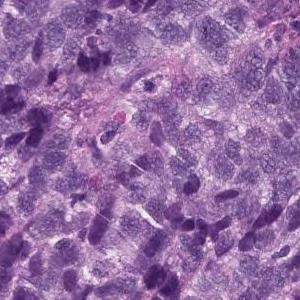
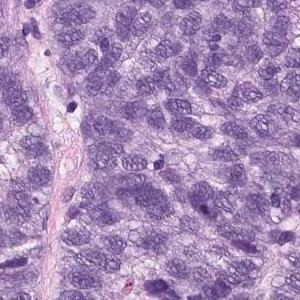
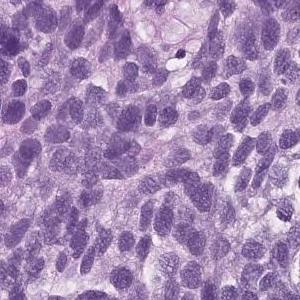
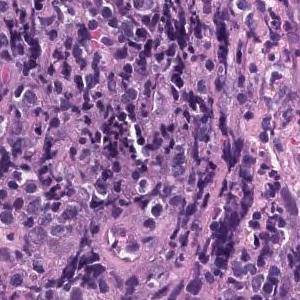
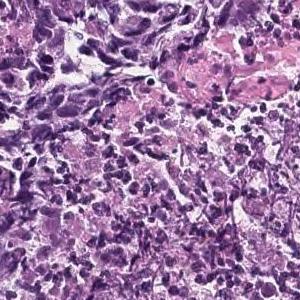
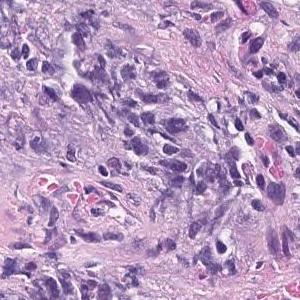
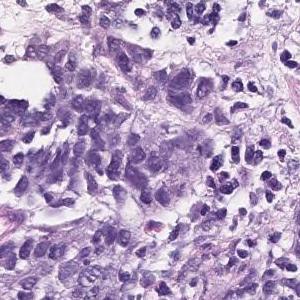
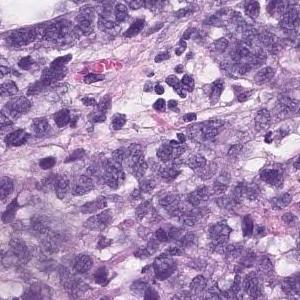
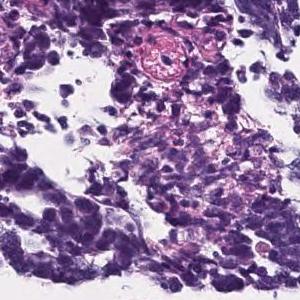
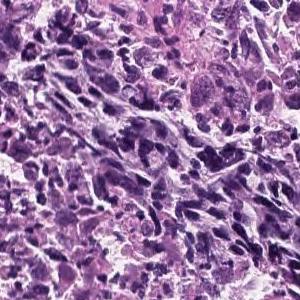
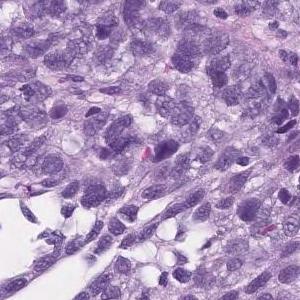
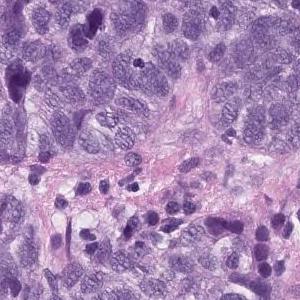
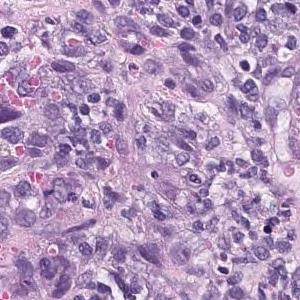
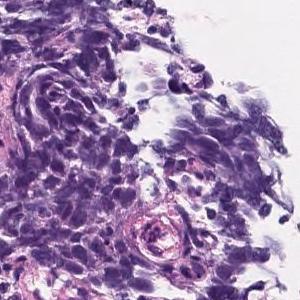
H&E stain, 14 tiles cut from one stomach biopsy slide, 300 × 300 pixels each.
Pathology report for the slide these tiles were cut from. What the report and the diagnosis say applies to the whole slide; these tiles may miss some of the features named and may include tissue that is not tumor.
Epithelial cells with swollen nuclei with atypia invasively proliferating while forming vesicles is observed. Poorly differentiated adenocarcinoma
Subtype: Poorly differentiated adenocarcinoma, solid type, a category of the Japanese Classification of Gastric Carcinoma; in the WHO 2019 classification it is tubular adenocarcinoma, poorly differentiated.
